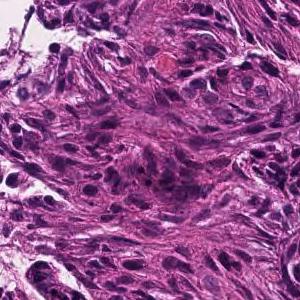
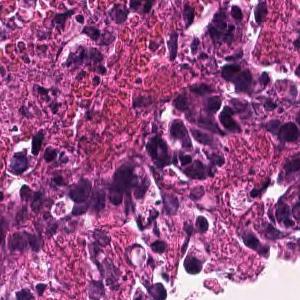
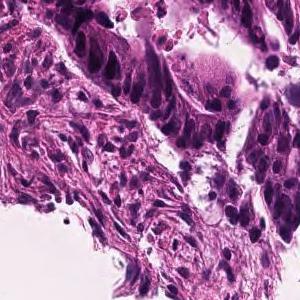
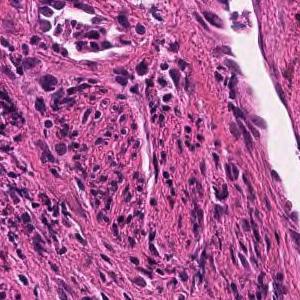
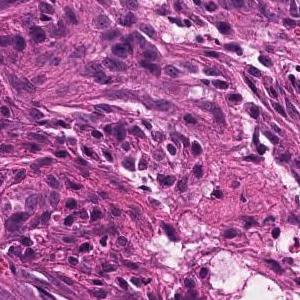
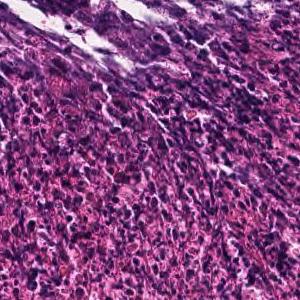
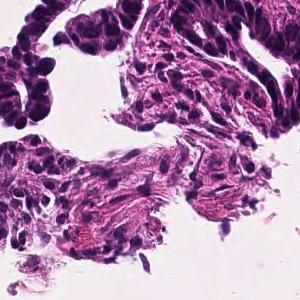
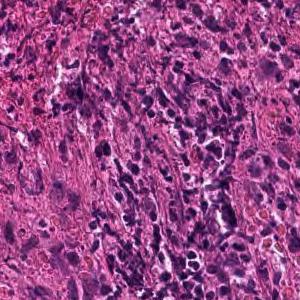
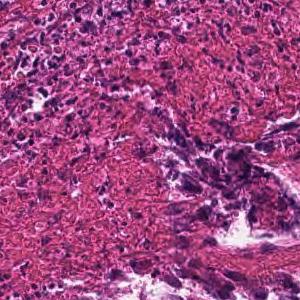
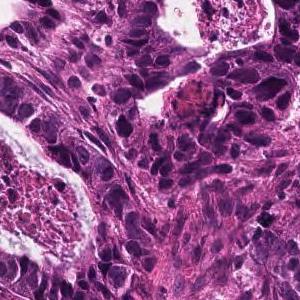
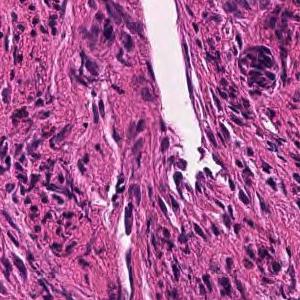
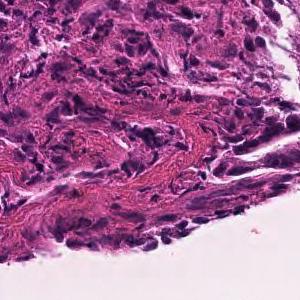
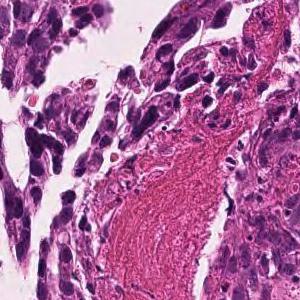
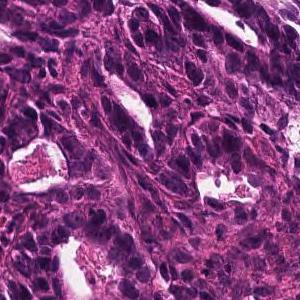
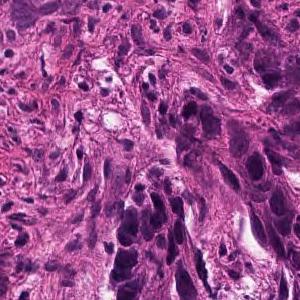
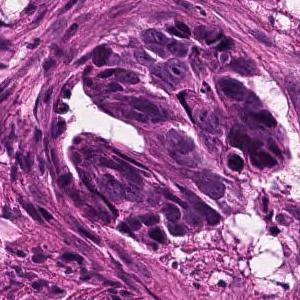
H&E stain, scanned at ×20, 16 tiles from the same stomach biopsy slide, 300×300 px each.
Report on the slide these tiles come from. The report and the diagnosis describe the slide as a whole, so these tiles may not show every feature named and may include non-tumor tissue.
In the superficial epithelium, tumor tissue that invades by forming medium-sized to small, irregular ducts is observed. moderately differentiated tubular adenocarcinoma.
